2 patches cut from one gastric biopsy slide; 20× magnification; H&E stain.
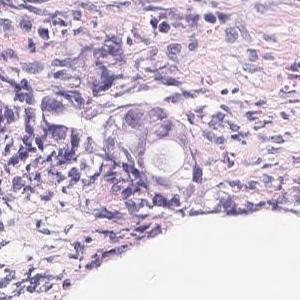
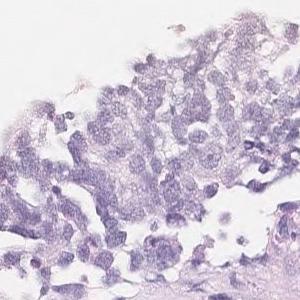
Pathology report for the slide these tiles were cut from. What the report and the diagnosis say applies to the whole slide; these tiles may miss some of the features named and may include tissue that is not tumor.
Atypical epithelial cells form small clusters and infiltrate. Adenocarcinoma.
Classified as poorly differentiated adenocarcinoma, non-solid type.
The term "non-solid type" comes from the Japanese Classification of Gastric Carcinoma.
